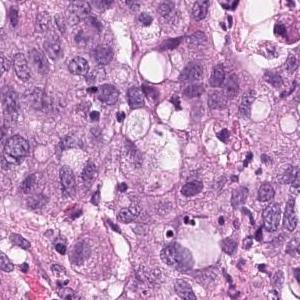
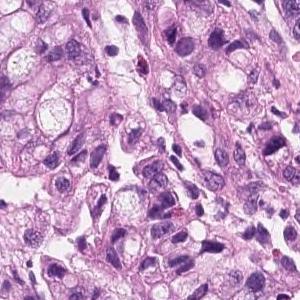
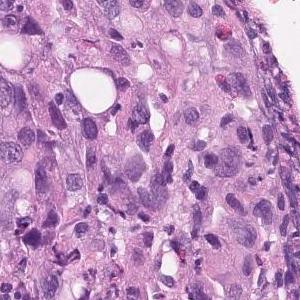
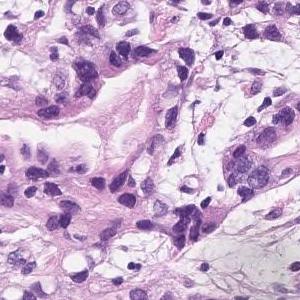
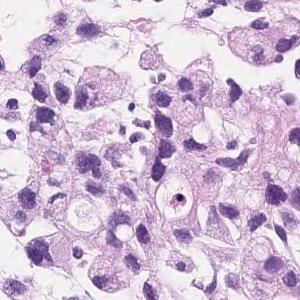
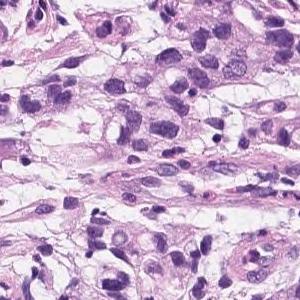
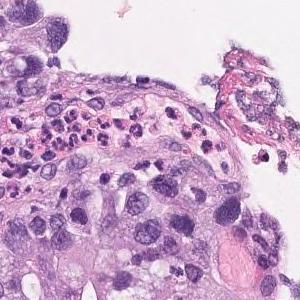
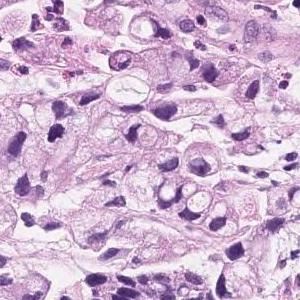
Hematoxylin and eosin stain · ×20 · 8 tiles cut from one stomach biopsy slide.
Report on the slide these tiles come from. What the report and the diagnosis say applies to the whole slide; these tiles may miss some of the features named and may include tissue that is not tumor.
Group 5, Adenocarcinoma. Poorly differentiated adenocarcinoma, non-solid type
"Non-solid type" is a category of the Japanese Classification of Gastric Carcinoma.
